9 image tiles from a single gastric biopsy slide, 300 × 300 pixels each, hematoxylin and eosin stain, 20× magnification.
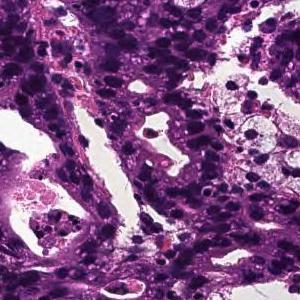
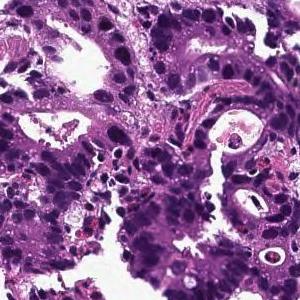
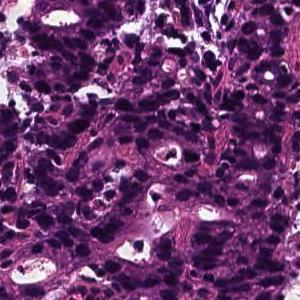
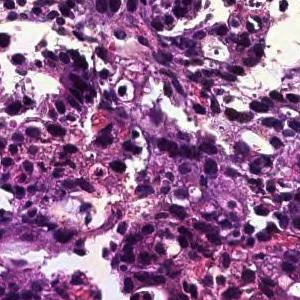
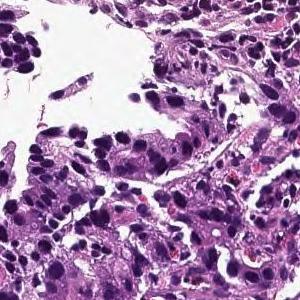
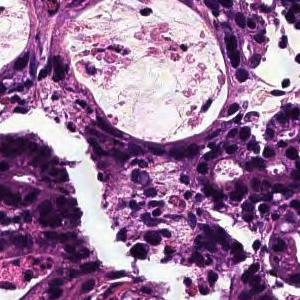
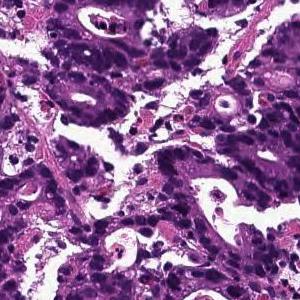
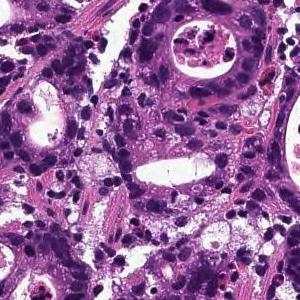
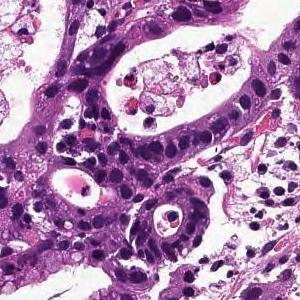
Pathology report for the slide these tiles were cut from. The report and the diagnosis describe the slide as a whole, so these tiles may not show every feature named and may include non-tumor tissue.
In the superficial epithelium, tumor tissue that invades by forming medium-sized to small, irregular ducts is observed. moderately differentiated tubular adenocarcinoma.
